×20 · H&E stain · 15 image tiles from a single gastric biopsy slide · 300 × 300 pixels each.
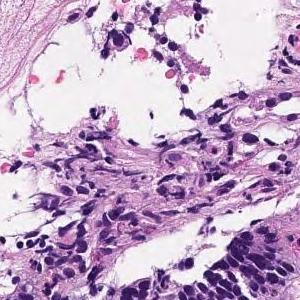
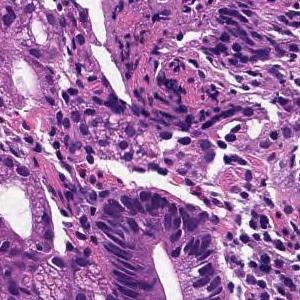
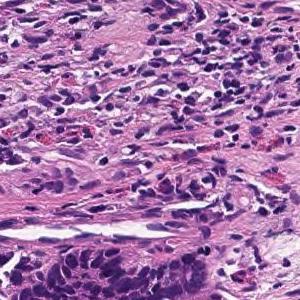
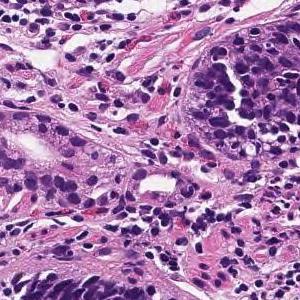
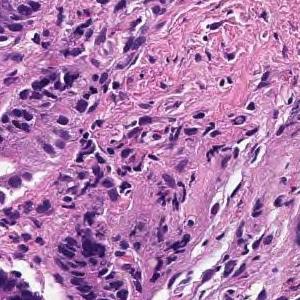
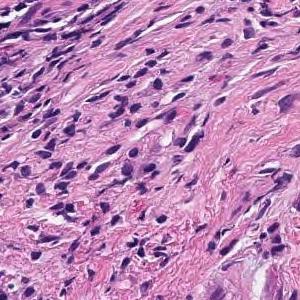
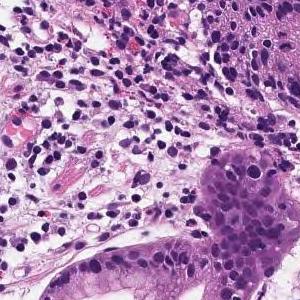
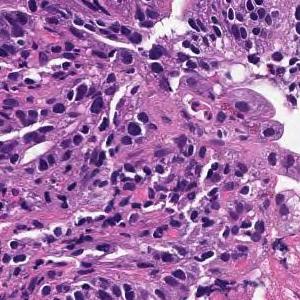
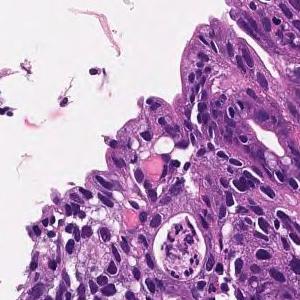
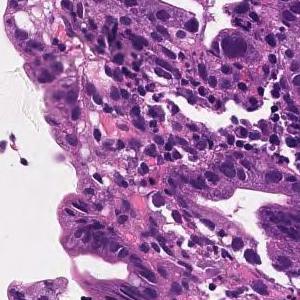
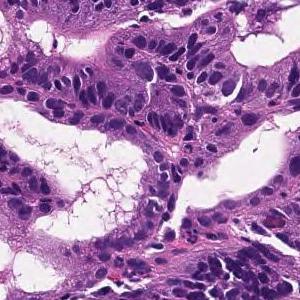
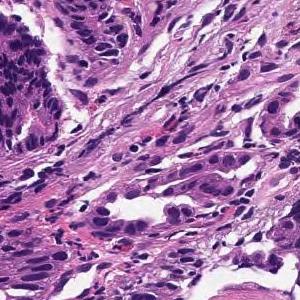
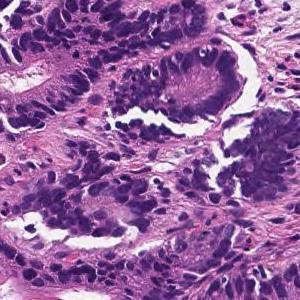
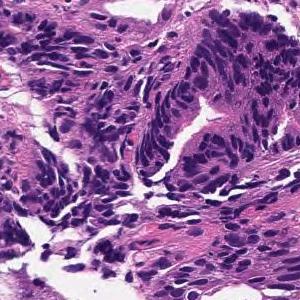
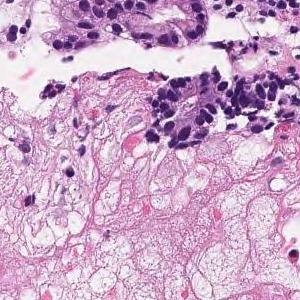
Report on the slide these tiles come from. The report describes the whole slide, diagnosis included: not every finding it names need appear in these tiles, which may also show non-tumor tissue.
In the superficial epithelium, tumor tissue that invades by forming medium-sized to small, irregular ducts is observed. moderately differentiated tubular adenocarcinoma.
